5 tiles cut from one stomach biopsy slide; each 300 × 300 pixels; H&E.
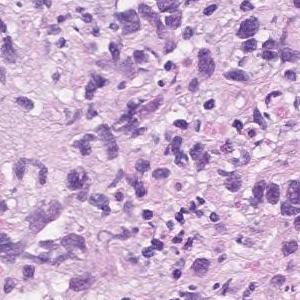
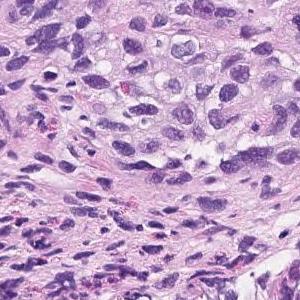
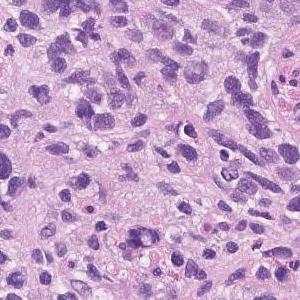
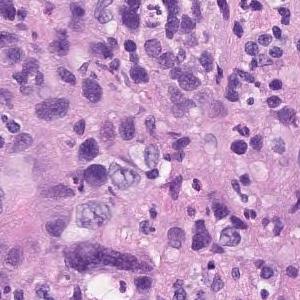
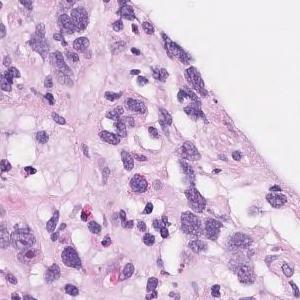
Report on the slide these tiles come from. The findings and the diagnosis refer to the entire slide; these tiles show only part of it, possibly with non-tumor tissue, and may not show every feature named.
Atypical l cells with atypical nuclei under the mucosa growing in isolation and scattered. Poorly differentiated adenocarcinoma (poorly differentiated adenocarcinoma, non-solid type)
Tumor subtype: poorly differentiated adenocarcinoma, non-solid type.
The non-solid type named here is a Japanese Classification of Gastric Carcinoma category.
